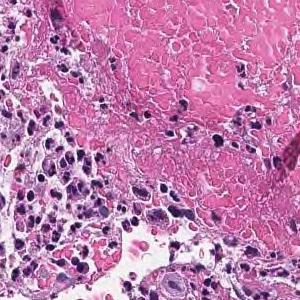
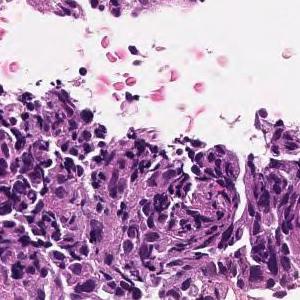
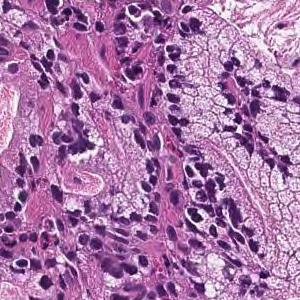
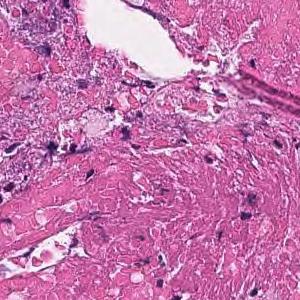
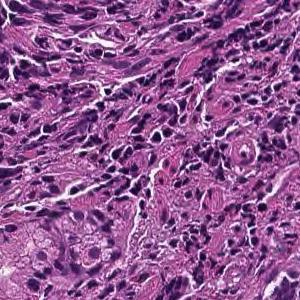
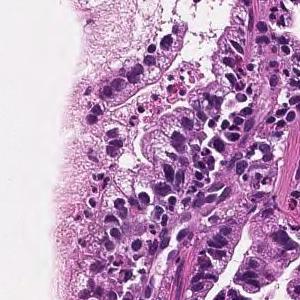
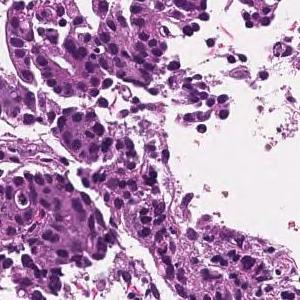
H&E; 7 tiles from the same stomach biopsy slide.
Diagnostic report for the slide these tiles come from. The findings and the diagnosis refer to the entire slide; these tiles show only part of it, possibly with non-tumor tissue, and may not show every feature named.
On the superficial epithelium, tumor tissue that infiltrates by forming medium-sized papillary or small irregular ducts is observed. Papillary adenocarcinoma
